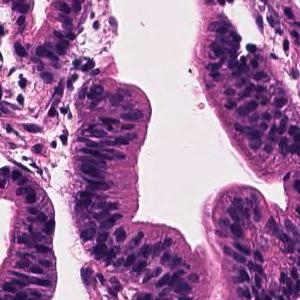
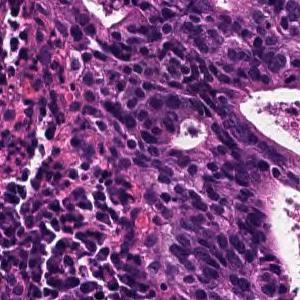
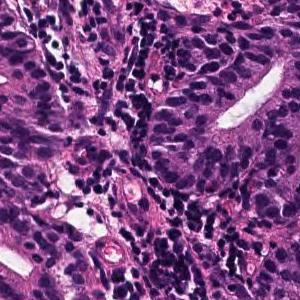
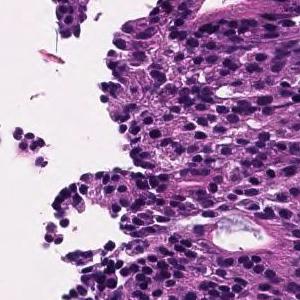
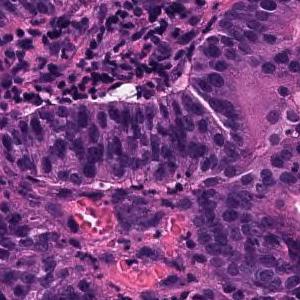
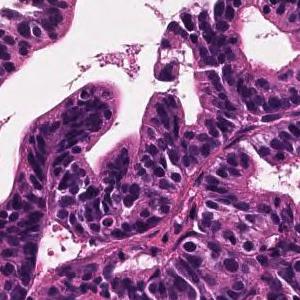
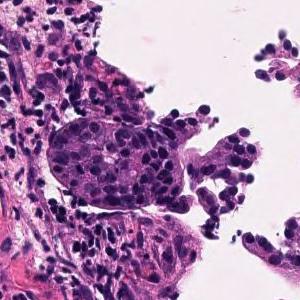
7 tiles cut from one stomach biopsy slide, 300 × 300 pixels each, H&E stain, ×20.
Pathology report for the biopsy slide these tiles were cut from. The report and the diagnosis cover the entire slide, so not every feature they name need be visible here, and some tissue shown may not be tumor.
In the superficial epithelium, tumor tissue that invades by forming medium-sized to small, irregular ducts is observed. Moderately differentiated adenocarcinoma.
Histological subtype: Moderately differentiated tubular adenocarcinoma.
